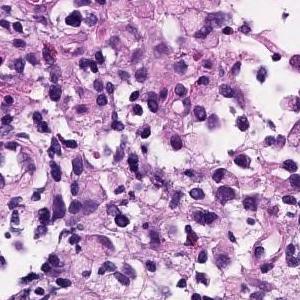
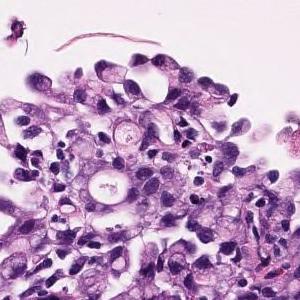
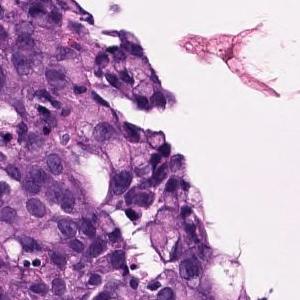
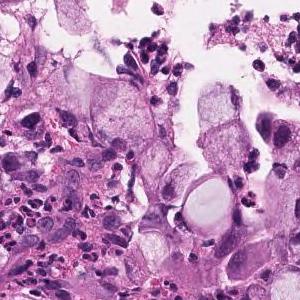
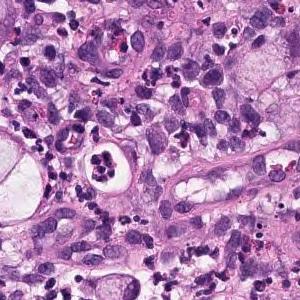
5 tiles from the same stomach biopsy slide; 300 × 300 pixels each; H&E stain.
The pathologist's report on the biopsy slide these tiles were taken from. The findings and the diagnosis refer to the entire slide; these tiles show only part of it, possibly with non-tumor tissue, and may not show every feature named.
Atypical epithelium forms irregularly fused gland ducts and proliferates. Poorly differentiated adenocarcinoma.
Histological subtype: Poorly differentiated adenocarcinoma, non-solid type.
The non-solid type named here is a Japanese Classification of Gastric Carcinoma category.
